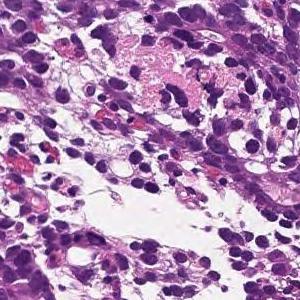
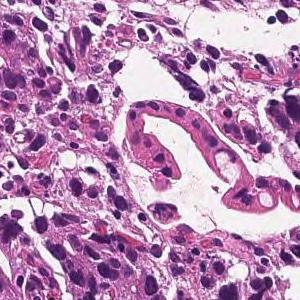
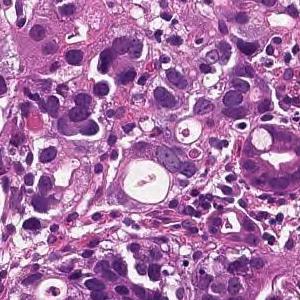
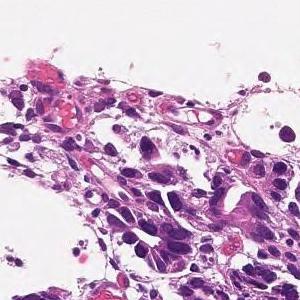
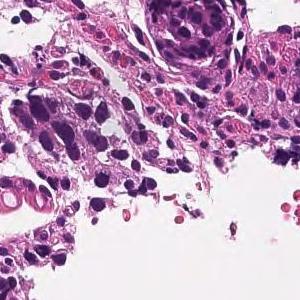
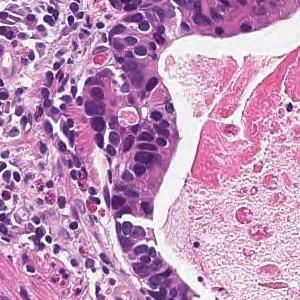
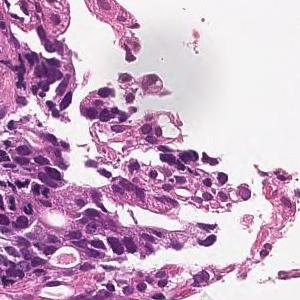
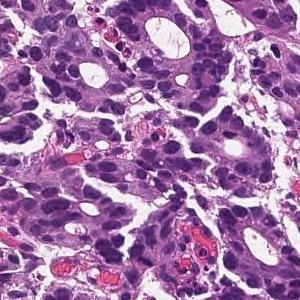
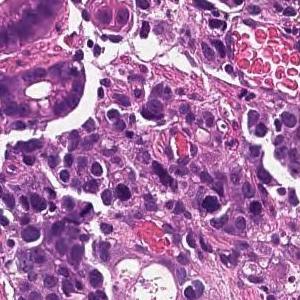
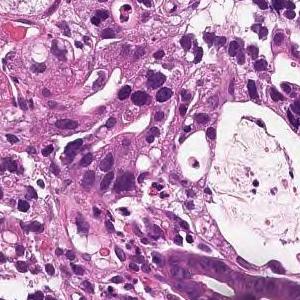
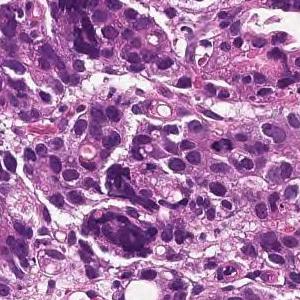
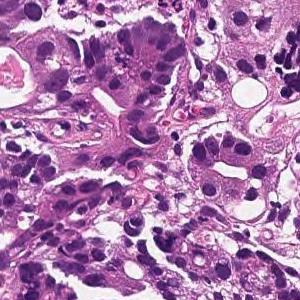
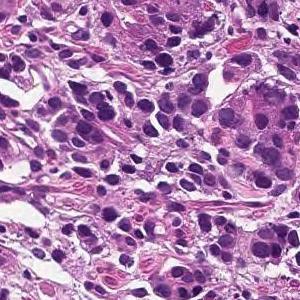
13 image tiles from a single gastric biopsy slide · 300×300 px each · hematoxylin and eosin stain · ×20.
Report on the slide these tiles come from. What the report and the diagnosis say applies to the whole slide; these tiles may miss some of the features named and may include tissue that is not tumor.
On the superficial epithelium, tumor tissue is found in which medium-sized irregular gland ducts fuse with each other and infiltrate. moderately differentiated tubular adenocarcinoma
